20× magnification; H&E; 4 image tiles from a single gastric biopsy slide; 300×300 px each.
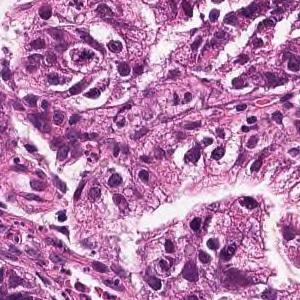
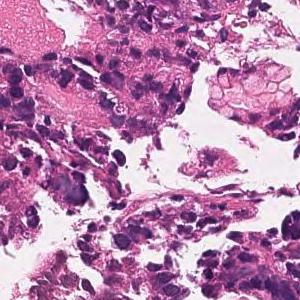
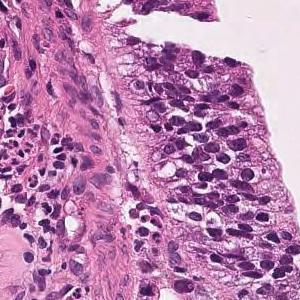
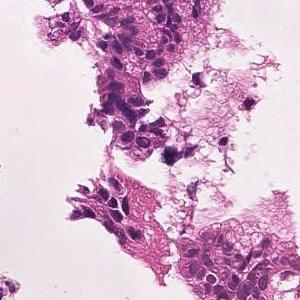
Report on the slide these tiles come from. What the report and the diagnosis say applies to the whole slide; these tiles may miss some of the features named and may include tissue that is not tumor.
On the superficial epithelium, tumor tissue consisting of large, irregular glandular ducts partially fused and infiltrated is observed. Well to moderately differentiated tubular adenocarcinoma (well differentiated tubular adenocarcinoma, moderately differentiated tubular adenocarcinoma)
Classified as well to moderately differentiated tubular adenocarcinoma.
